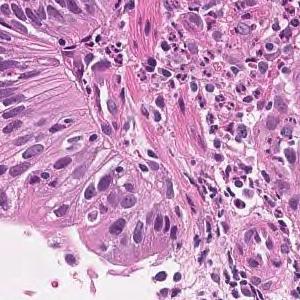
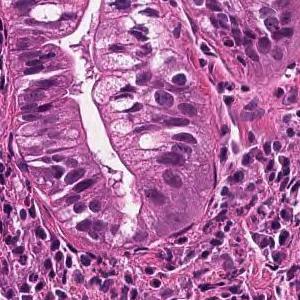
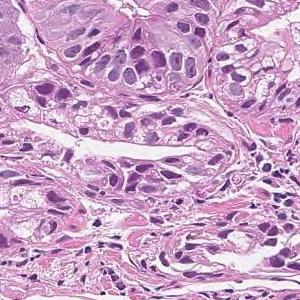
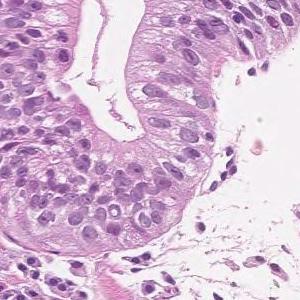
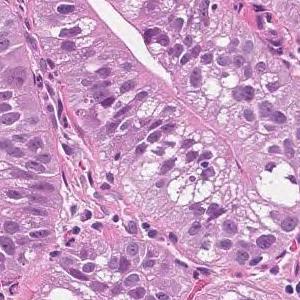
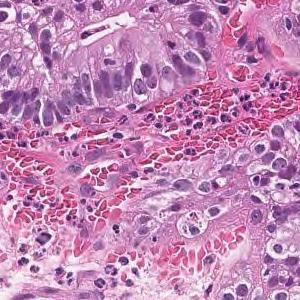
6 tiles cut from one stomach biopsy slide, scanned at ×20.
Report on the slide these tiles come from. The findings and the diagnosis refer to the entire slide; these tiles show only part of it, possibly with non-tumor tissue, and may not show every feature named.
Tumor cells are large, highly columnar, large club-shaped nuclei, and are associated with chromatin aggregation. Papillary adenocarcinoma.
